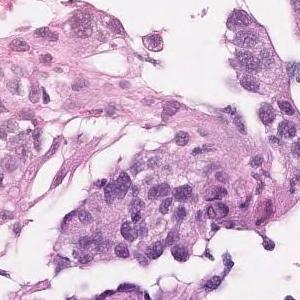
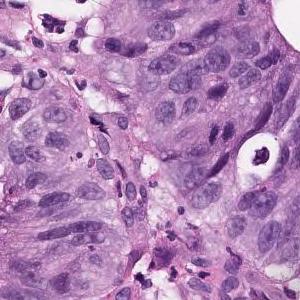
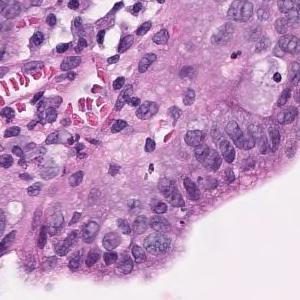
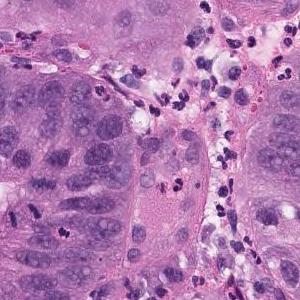
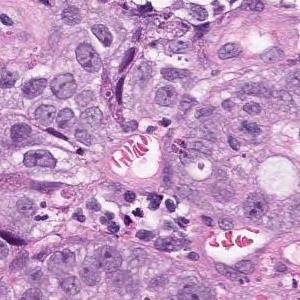
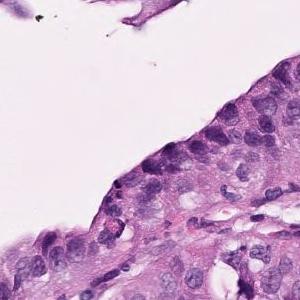
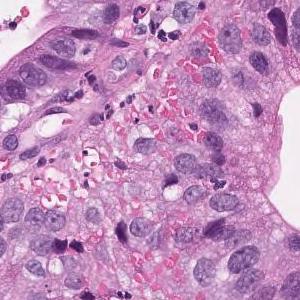
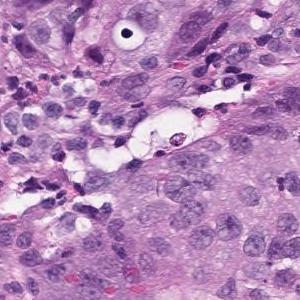
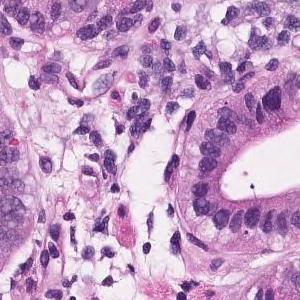
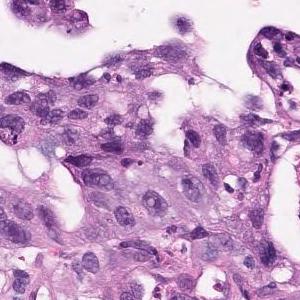
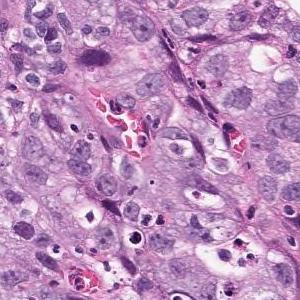
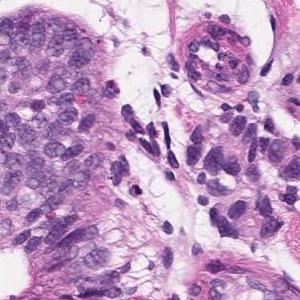
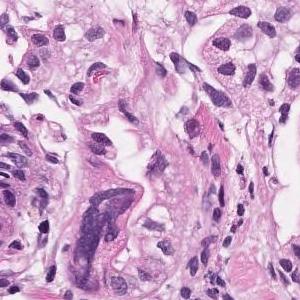
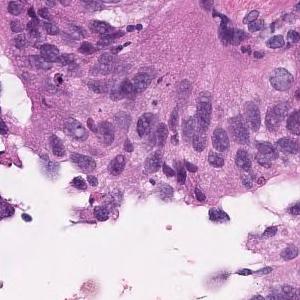
Scanned at ×20, hematoxylin and eosin stain, 14 patches cut from one gastric biopsy slide.
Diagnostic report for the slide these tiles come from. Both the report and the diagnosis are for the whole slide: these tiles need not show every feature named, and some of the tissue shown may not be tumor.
On the superficial epithelium, tumor tissue consisting of medium to small irregular tubules partially fused and proliferated is observed. Well differentiated tubular adenocarcinoma
